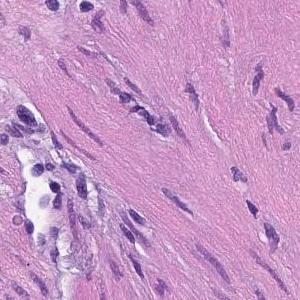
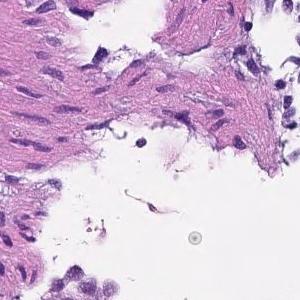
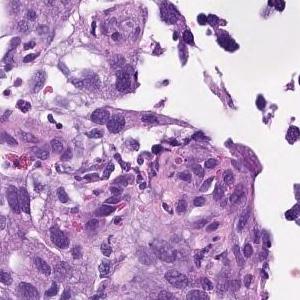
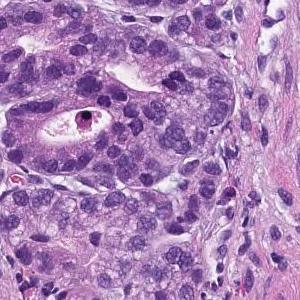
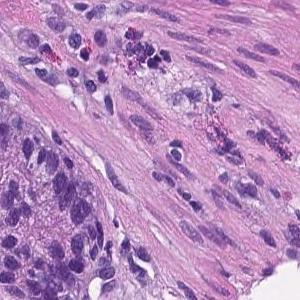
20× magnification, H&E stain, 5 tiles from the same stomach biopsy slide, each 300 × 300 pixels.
Pathology report for the slide these tiles were cut from. The report describes the whole slide, diagnosis included: not every finding it names need appear in these tiles, which may also show non-tumor tissue.
From the superficial epithelium to the muscularis mucosae, tumor tissue consisting of medium-sized and irregular glandular ducts infiltrating is observed. Well differentiated tubular adenocarcinoma
